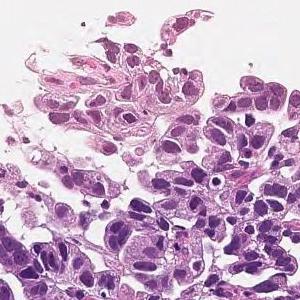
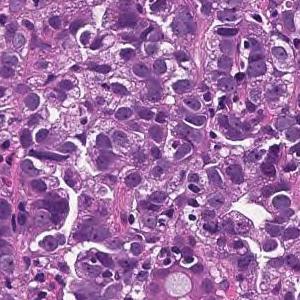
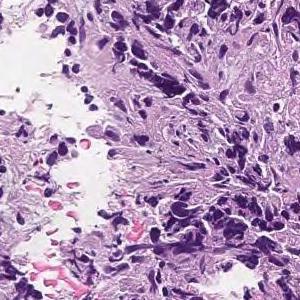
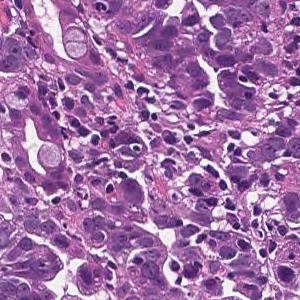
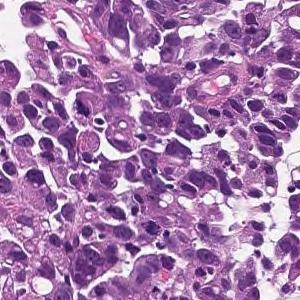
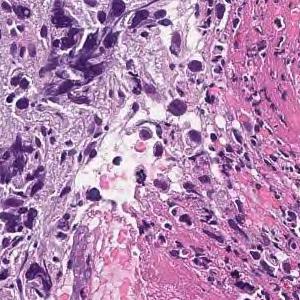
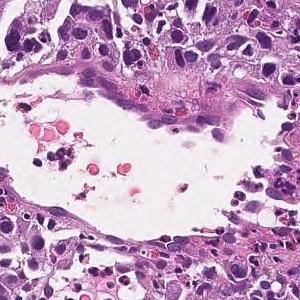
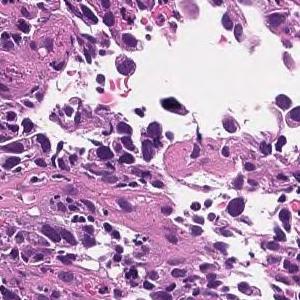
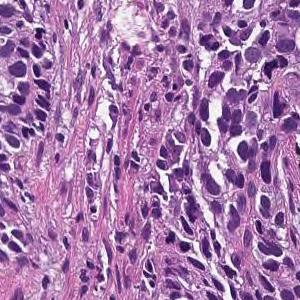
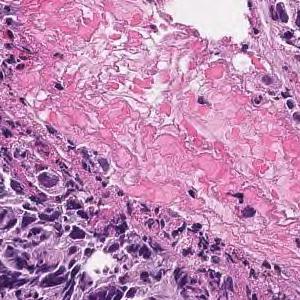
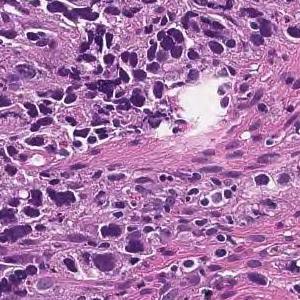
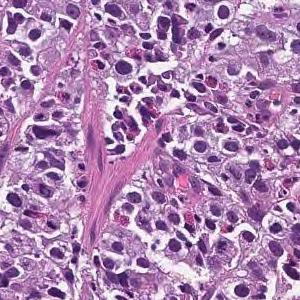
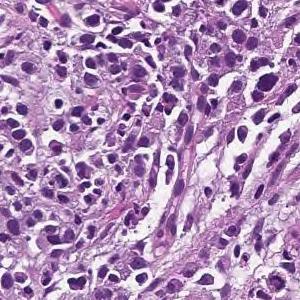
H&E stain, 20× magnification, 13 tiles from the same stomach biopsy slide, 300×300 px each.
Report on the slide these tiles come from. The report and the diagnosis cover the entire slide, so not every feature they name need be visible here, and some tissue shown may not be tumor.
The superficial epithelium shows a large sheet-like shape, and some tumor tissue infiltrates with small irregular ducts. Poorly differentiated adenocarcinoma, solid-type
Tumor subtype: poorly differentiated adenocarcinoma, solid type. This name comes from the Japanese Classification of Gastric Carcinoma; the WHO 2019 classification calls it tubular adenocarcinoma, poorly differentiated.
